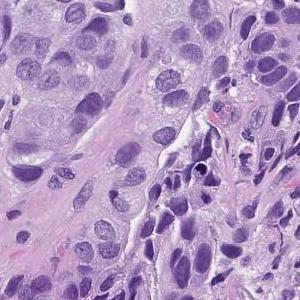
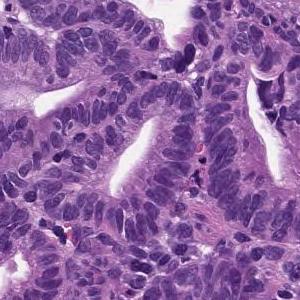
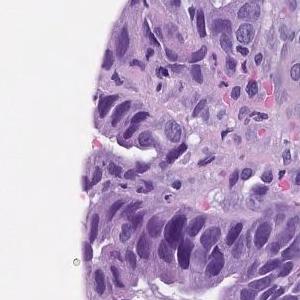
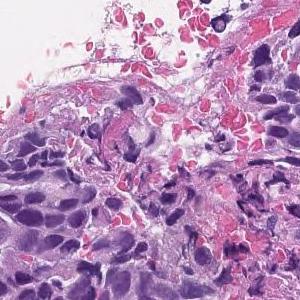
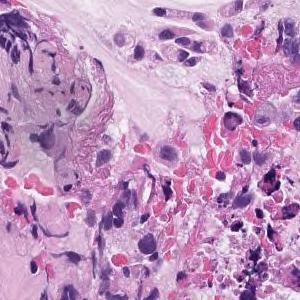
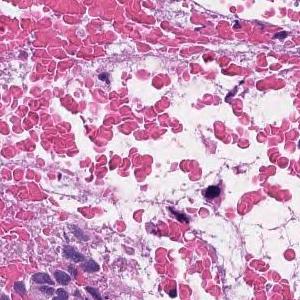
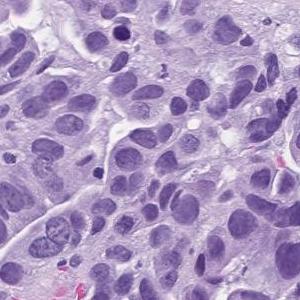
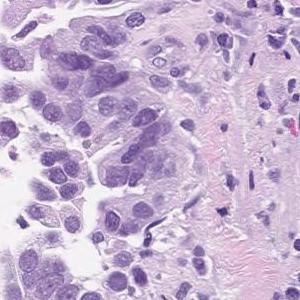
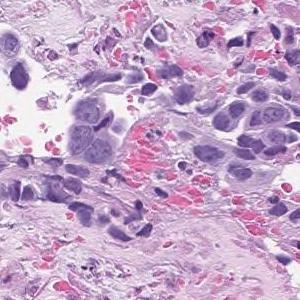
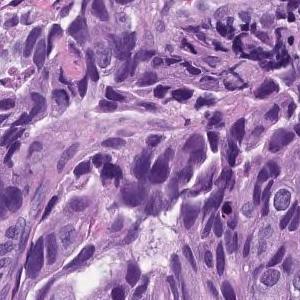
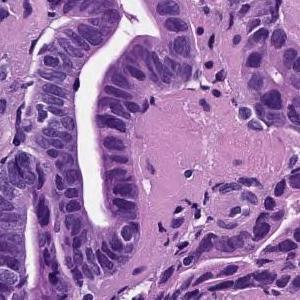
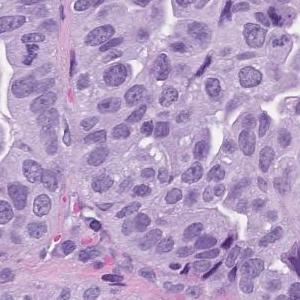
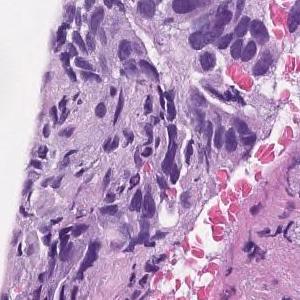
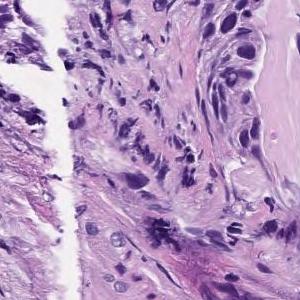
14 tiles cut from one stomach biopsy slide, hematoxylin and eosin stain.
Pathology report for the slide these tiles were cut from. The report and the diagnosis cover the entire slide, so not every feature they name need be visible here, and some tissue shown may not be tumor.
In the superficial epithelium, tumor tissue that invades by forming medium-sized to small, irregular ducts is observed. moderately differentiated tubular adenocarcinoma.
